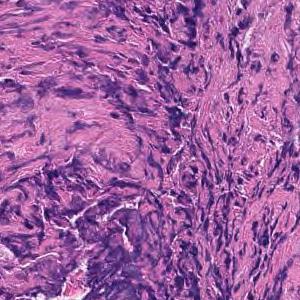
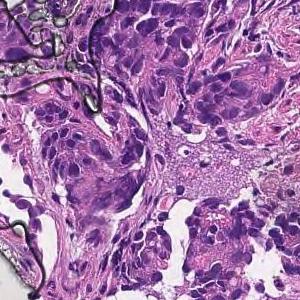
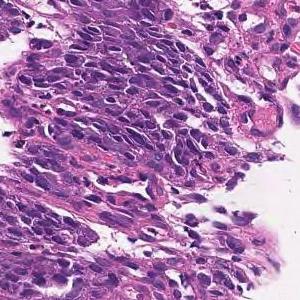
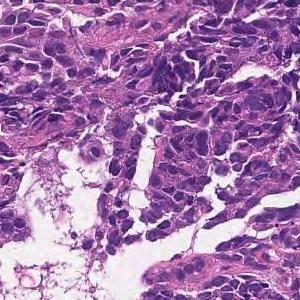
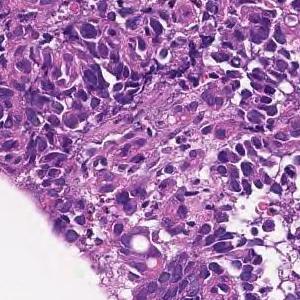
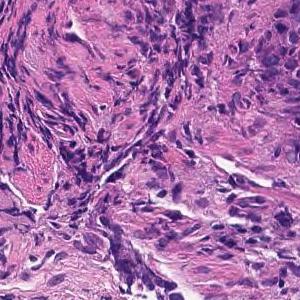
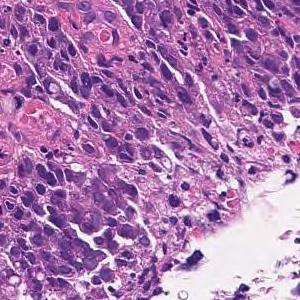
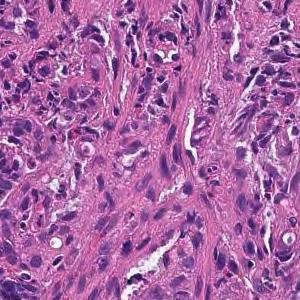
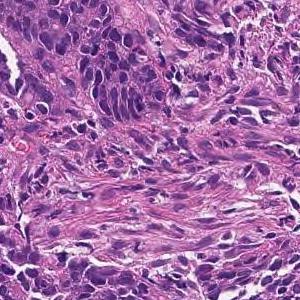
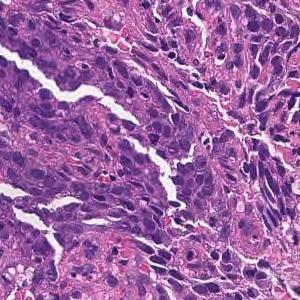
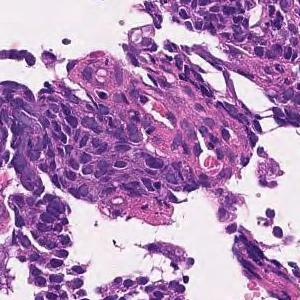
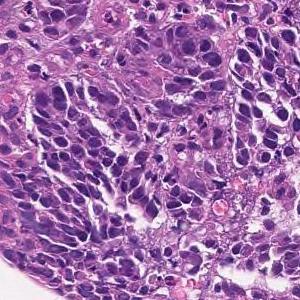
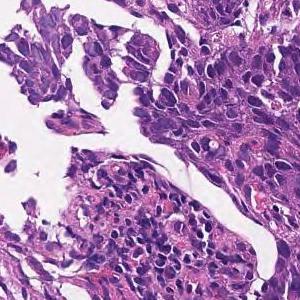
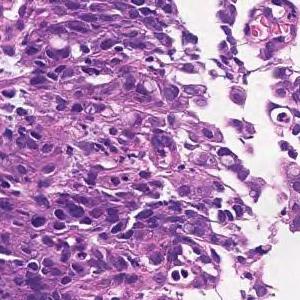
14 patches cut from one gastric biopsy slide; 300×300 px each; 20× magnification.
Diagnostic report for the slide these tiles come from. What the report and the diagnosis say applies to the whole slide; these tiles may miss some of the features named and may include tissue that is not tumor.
Tumor tissue consisting of cord-like or small, irregular glandular ducts fused and infiltrated is observed in the superficial epithelium. Poorly differentiated adenocarcinoma, non-solid type
The term "non-solid type" comes from the Japanese Classification of Gastric Carcinoma.
